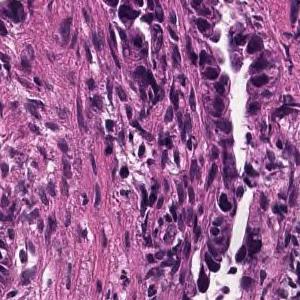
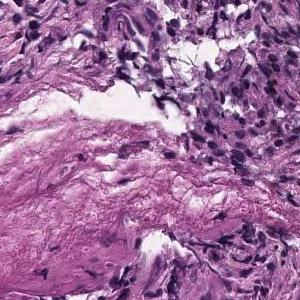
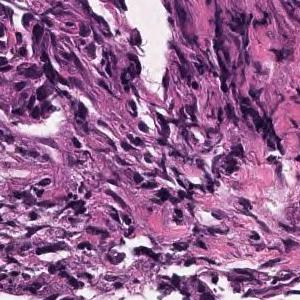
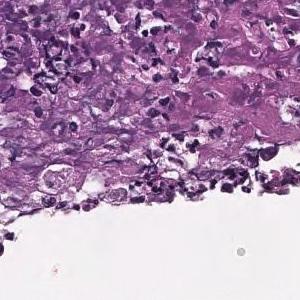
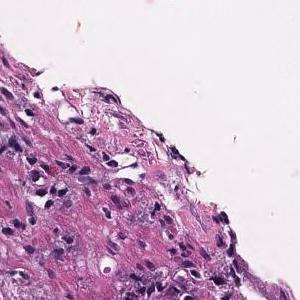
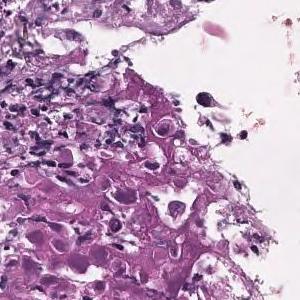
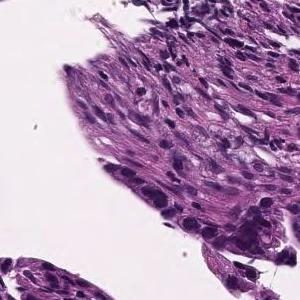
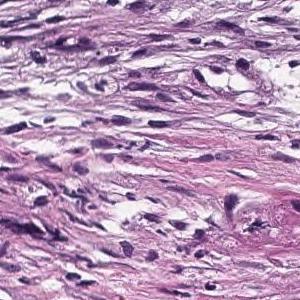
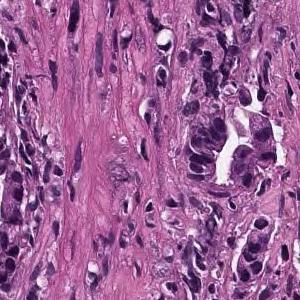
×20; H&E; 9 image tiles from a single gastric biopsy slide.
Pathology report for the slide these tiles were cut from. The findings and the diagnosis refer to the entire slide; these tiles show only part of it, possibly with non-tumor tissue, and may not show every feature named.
In the superficial epithelium, tumor tissue that invades by forming medium-sized to small, irregular ducts is observed. moderately differentiated tubular adenocarcinoma.
